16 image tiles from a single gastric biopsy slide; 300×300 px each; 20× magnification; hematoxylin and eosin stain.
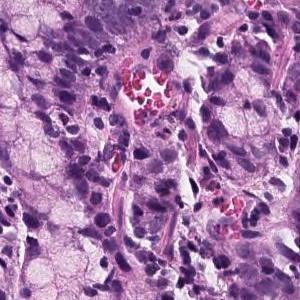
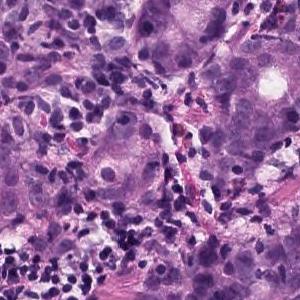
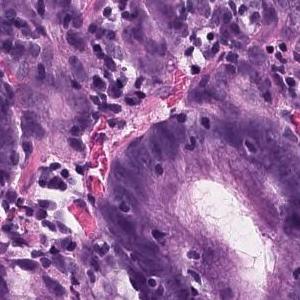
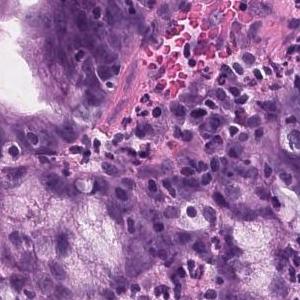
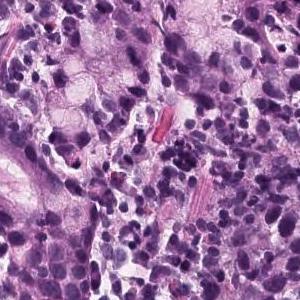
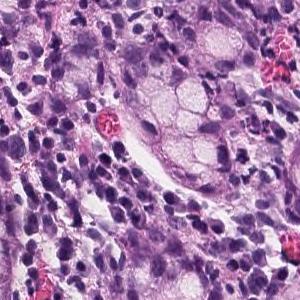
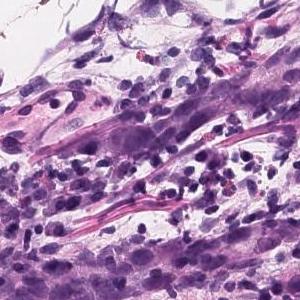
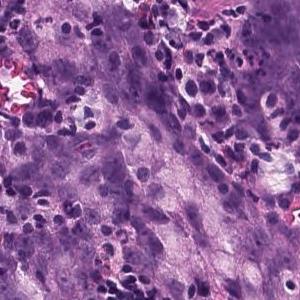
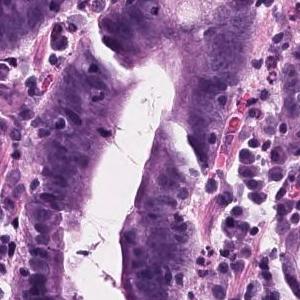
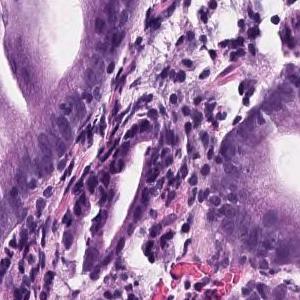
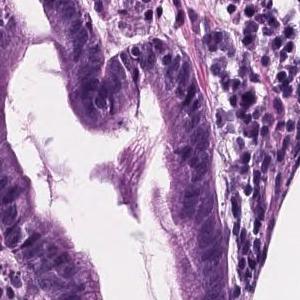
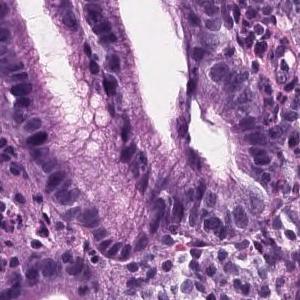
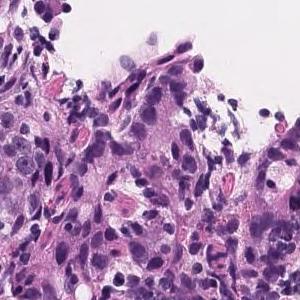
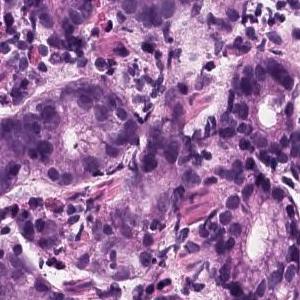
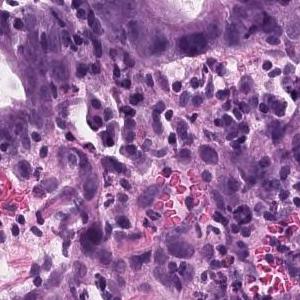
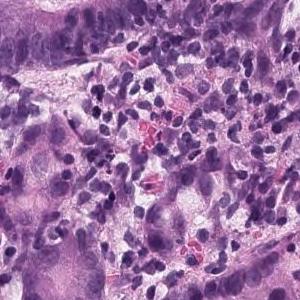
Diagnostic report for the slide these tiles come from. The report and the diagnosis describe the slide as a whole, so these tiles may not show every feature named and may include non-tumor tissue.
In the superficial epithelium, tumor tissue that invades by forming medium-sized to small, irregular ducts is observed. Moderately differentiated adenocarcinoma.
Histologic type: Moderately differentiated tubular adenocarcinoma.
